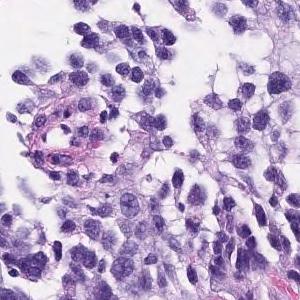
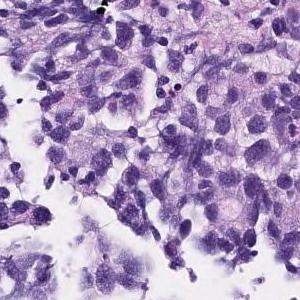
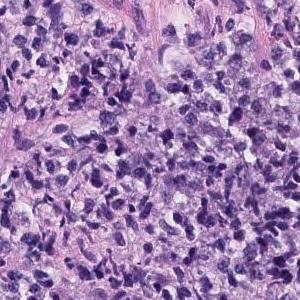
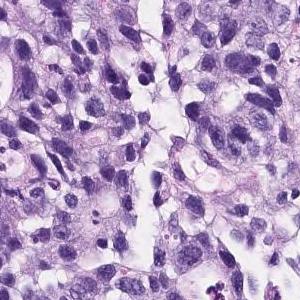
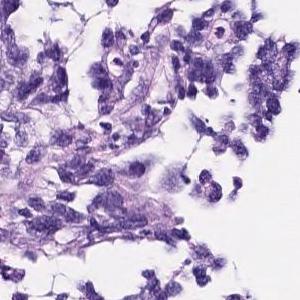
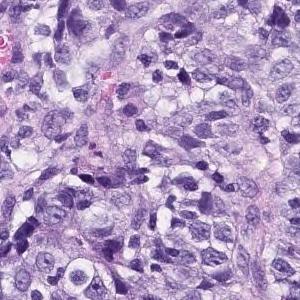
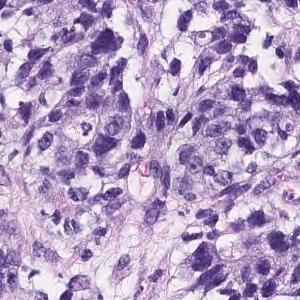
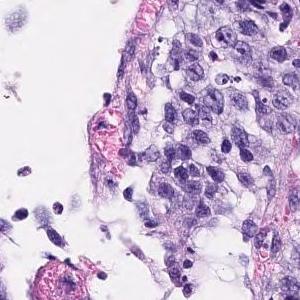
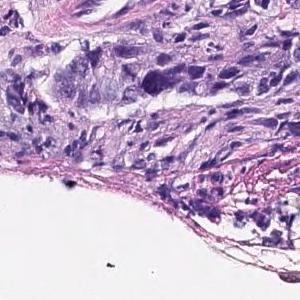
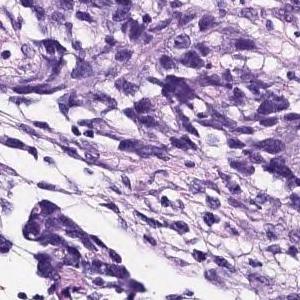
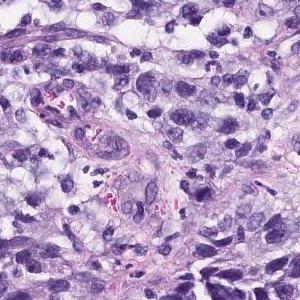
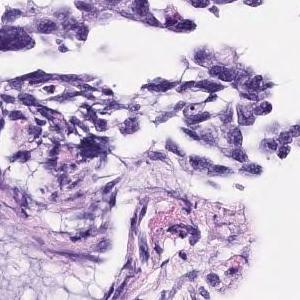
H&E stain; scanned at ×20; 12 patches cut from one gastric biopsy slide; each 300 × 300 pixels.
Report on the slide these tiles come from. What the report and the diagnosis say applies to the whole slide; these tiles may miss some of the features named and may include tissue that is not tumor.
The superficial epithelium shows a large sheet-like shape, and some tumor tissue infiltrates with small irregular ducts. Poorly differentiated adenocarcinoma, solid-type
Subtype: Poorly differentiated adenocarcinoma, solid type (Japanese Classification of Gastric Carcinoma). The WHO 2019 equivalent is tubular adenocarcinoma, poorly differentiated.
